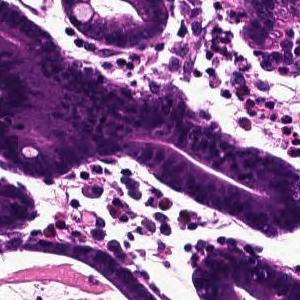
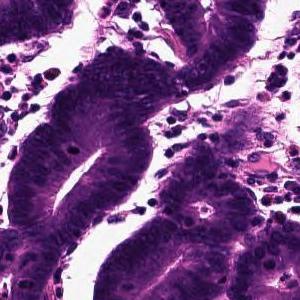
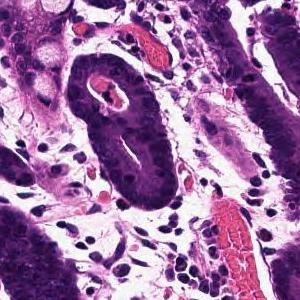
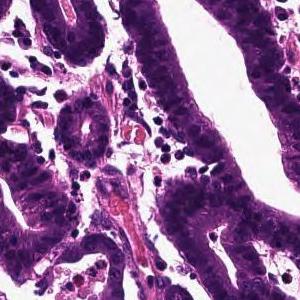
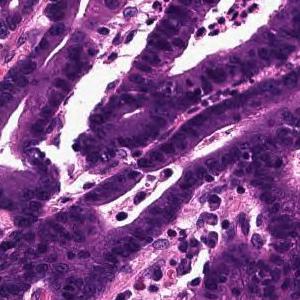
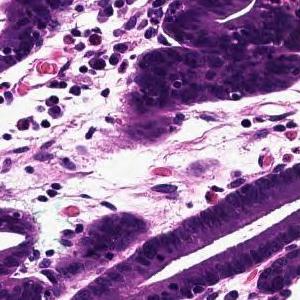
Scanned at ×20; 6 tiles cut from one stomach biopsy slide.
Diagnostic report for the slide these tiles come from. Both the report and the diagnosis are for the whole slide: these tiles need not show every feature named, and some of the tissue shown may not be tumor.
Tumor tissue that infiltrates by forming large papillary or large irregular glandular ducts is observed confined to the mucosa. Papillary adenocarcinoma
